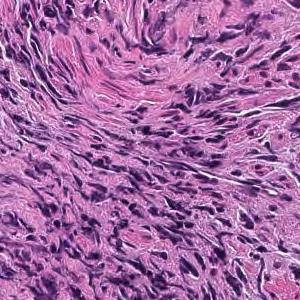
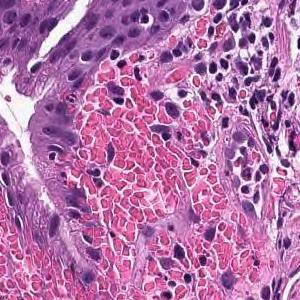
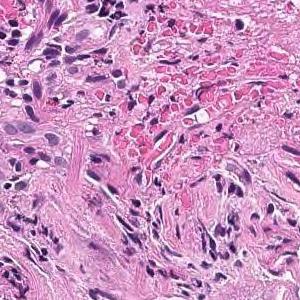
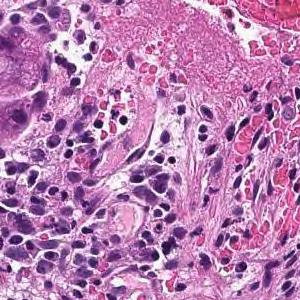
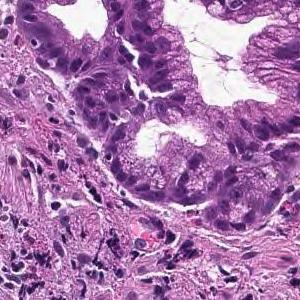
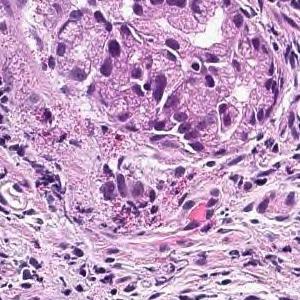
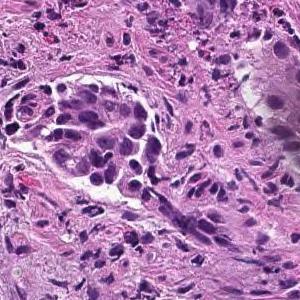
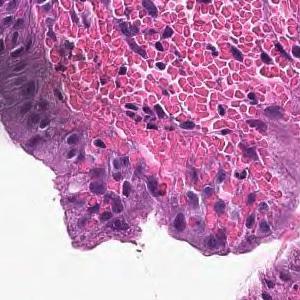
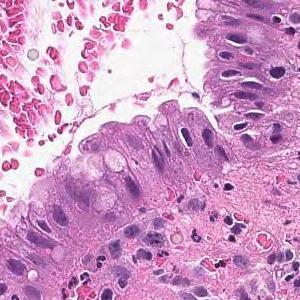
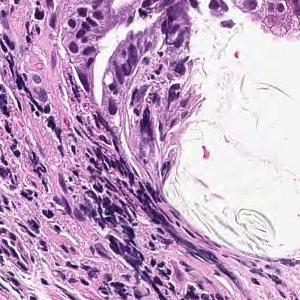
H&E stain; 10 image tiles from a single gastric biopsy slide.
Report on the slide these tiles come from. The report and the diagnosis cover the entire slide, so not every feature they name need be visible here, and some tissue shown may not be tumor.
In the superficial epithelium, tumor tissue that invades by forming medium-sized to small, irregular ducts is observed. moderately differentiated tubular adenocarcinoma.
